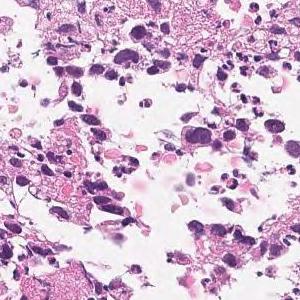
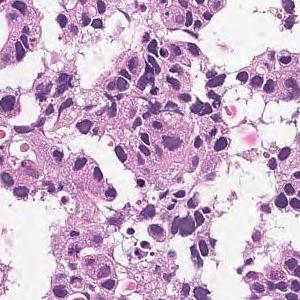
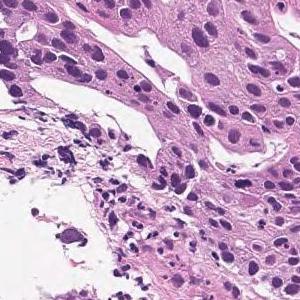
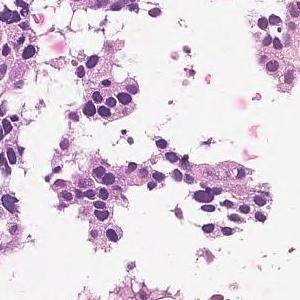
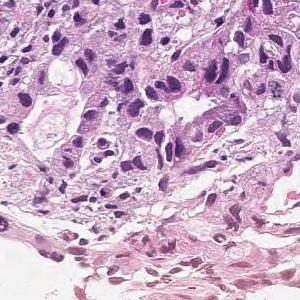
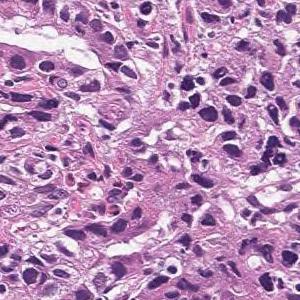
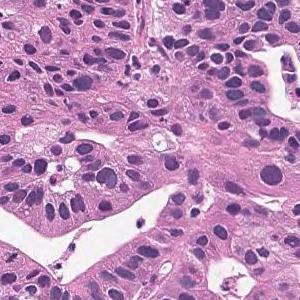
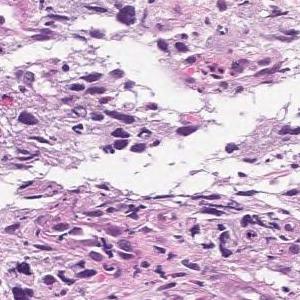
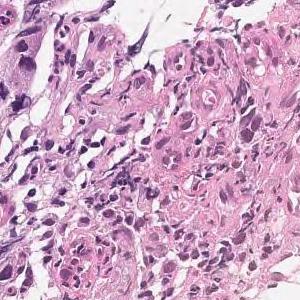
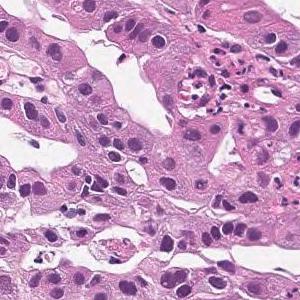
10 tiles cut from one stomach biopsy slide, 300 × 300 pixels each, scanned at ×20.
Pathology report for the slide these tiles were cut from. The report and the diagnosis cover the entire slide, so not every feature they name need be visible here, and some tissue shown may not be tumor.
Tumor tissue that grows by forming gland ducts from the surface layer to the submucosa is observed. moderately differentiated tubular adenocarcinoma
